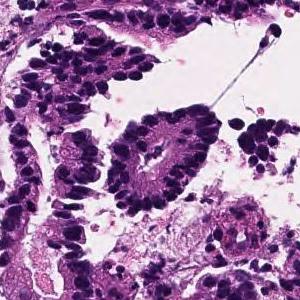
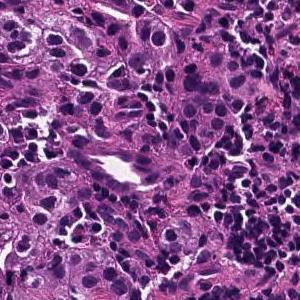
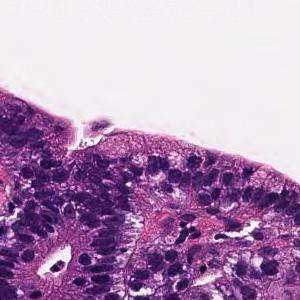
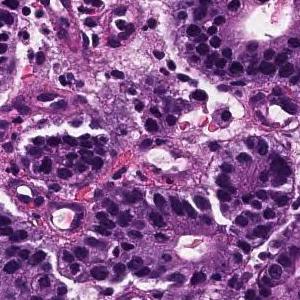
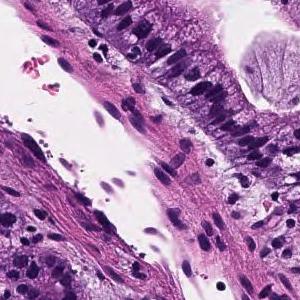
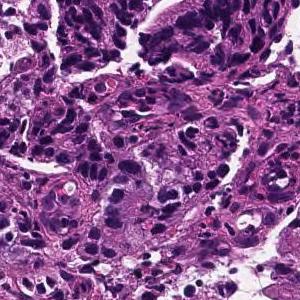
×20; 6 tiles cut from one stomach biopsy slide.
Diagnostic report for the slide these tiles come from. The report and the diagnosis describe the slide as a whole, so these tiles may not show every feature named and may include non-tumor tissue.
From the superficial epithelium to the muscularis mucosae, tumor tissue consisting of medium-sized and irregular glandular ducts infiltrating is observed. Well differentiated tubular adenocarcinoma
